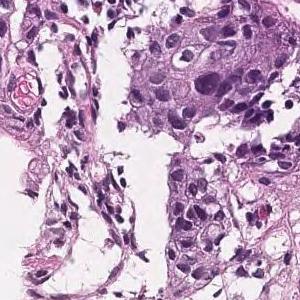
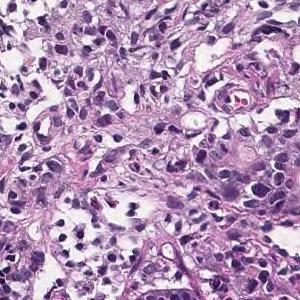
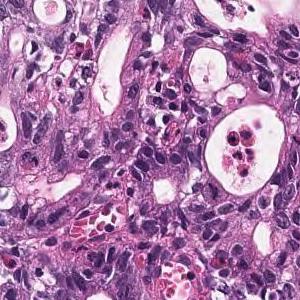
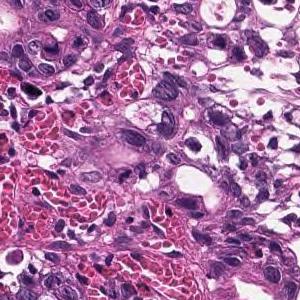
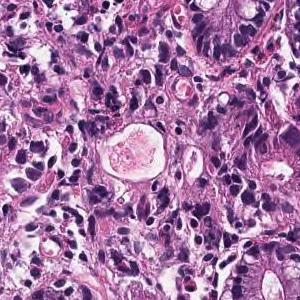
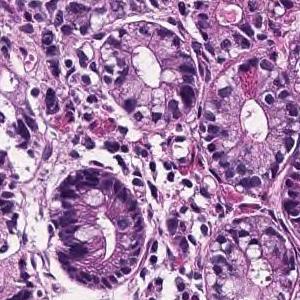
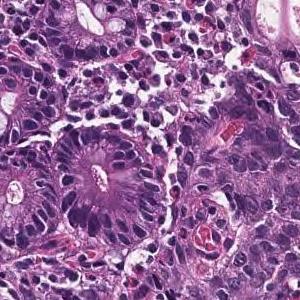
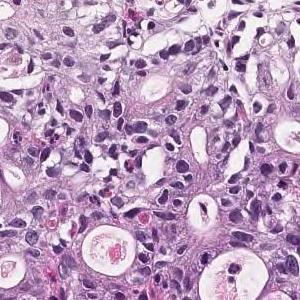
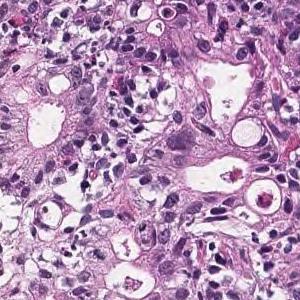
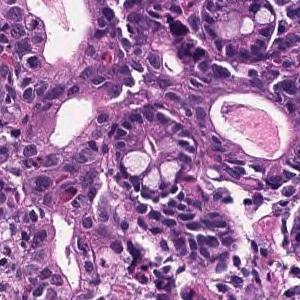
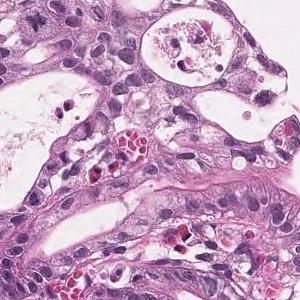
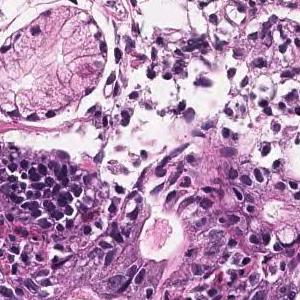
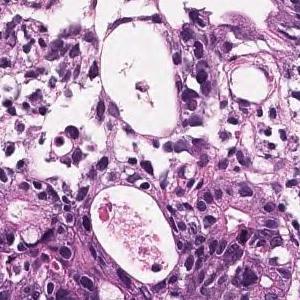
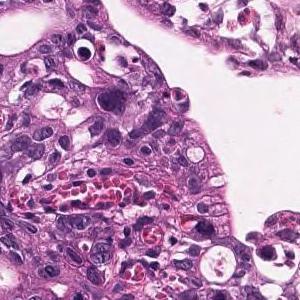
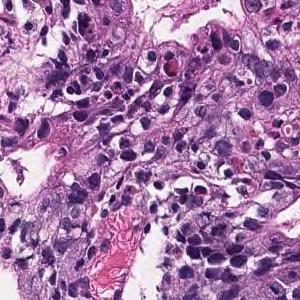
H&E, 15 patches cut from one gastric biopsy slide.
Report on the slide these tiles come from. The report and the diagnosis describe the slide as a whole, so these tiles may not show every feature named and may include non-tumor tissue.
In the superficial epithelium, tumor tissue that invades by forming medium-sized to small, irregular ducts is observed. Moderately differentiated adenocarcinoma.
Subtype: Moderately differentiated tubular adenocarcinoma.
